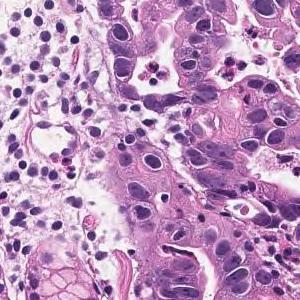
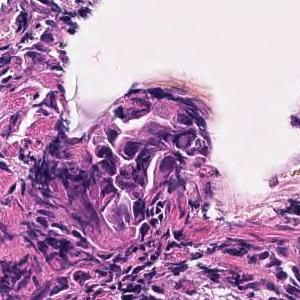
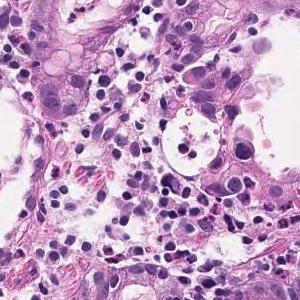
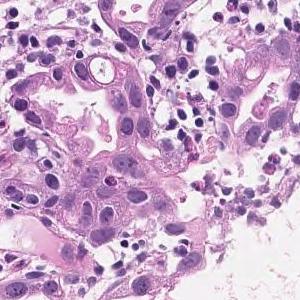
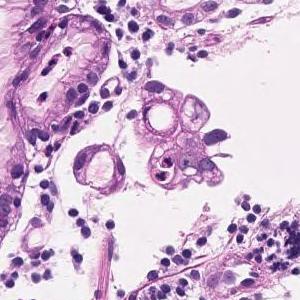
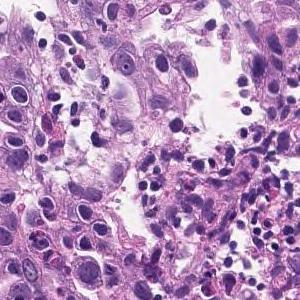
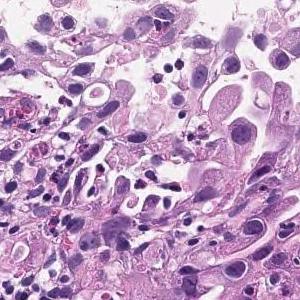
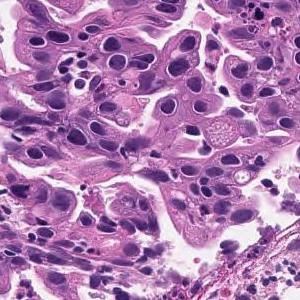
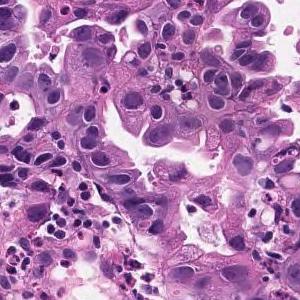
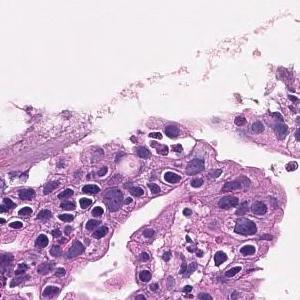
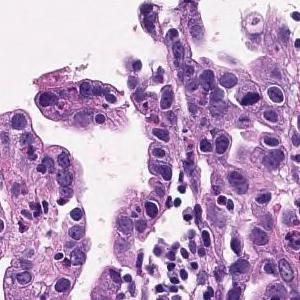
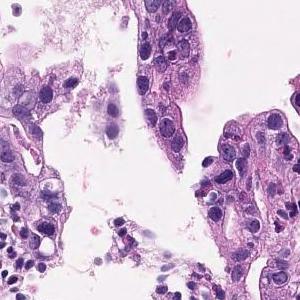
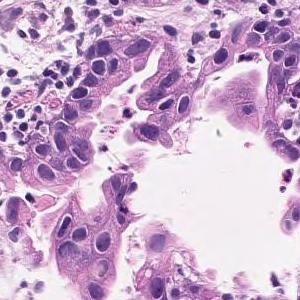
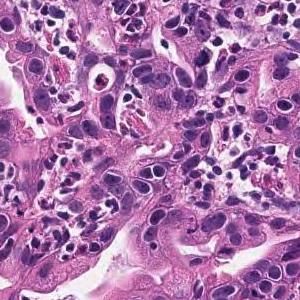
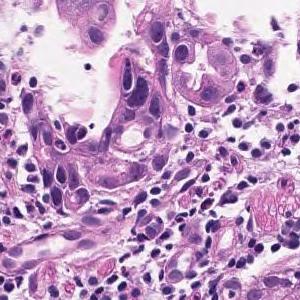
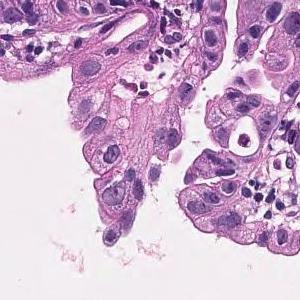
16 image tiles from a single gastric biopsy slide, H&E, 20× magnification.
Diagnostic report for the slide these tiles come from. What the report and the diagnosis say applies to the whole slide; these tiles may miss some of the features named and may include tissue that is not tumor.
In the superficial epithelium, tumor tissue that invades by forming medium-sized to small, irregular ducts is observed. moderately differentiated tubular adenocarcinoma.
